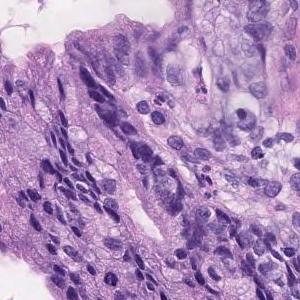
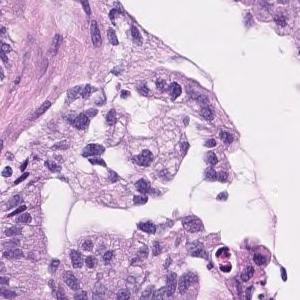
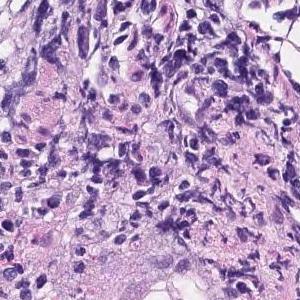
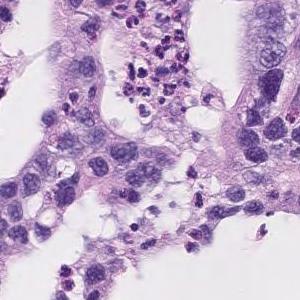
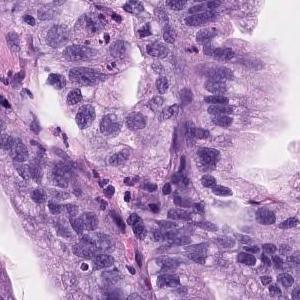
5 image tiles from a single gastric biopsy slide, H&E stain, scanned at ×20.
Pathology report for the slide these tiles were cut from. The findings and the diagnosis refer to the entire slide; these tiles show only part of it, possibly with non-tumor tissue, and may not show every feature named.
Tumor cells are large, highly columnar, large club-shaped nuclei, and are associated with chromatin aggregation. Papillary adenocarcinoma.
